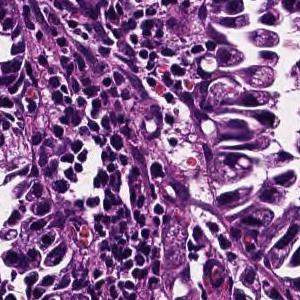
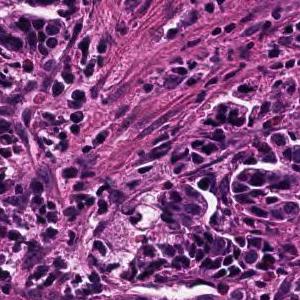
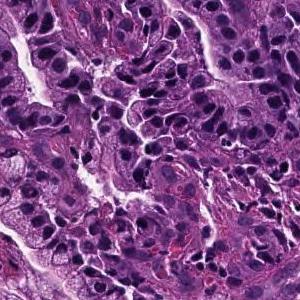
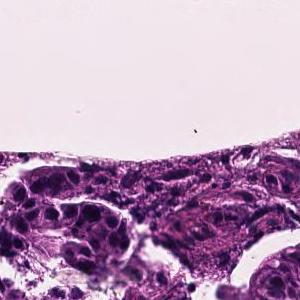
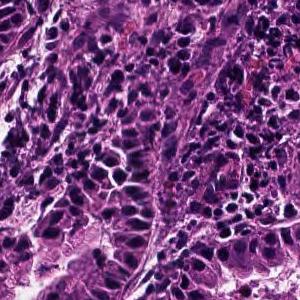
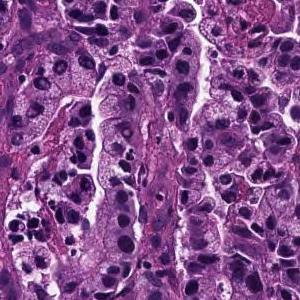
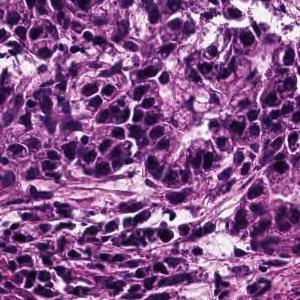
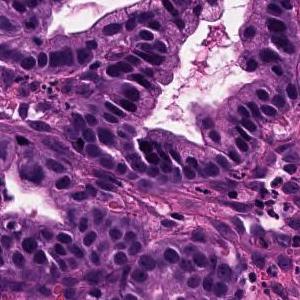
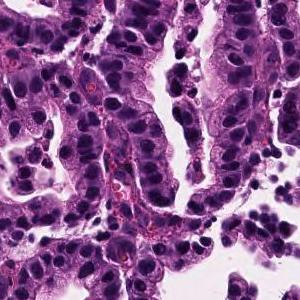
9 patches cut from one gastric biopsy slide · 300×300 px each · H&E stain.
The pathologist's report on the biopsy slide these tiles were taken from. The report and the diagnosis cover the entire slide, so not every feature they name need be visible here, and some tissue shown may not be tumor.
Tumor cells are large, highly columnar, large club-shaped nuclei, and are associated with chromatin aggregation. Papillary adenocarcinoma.
